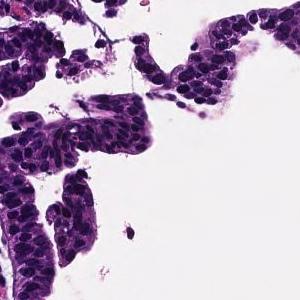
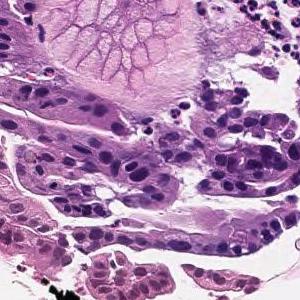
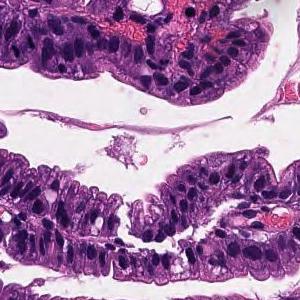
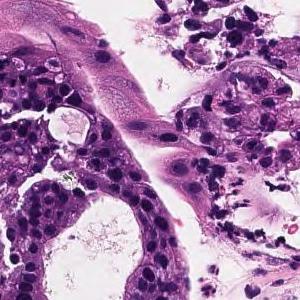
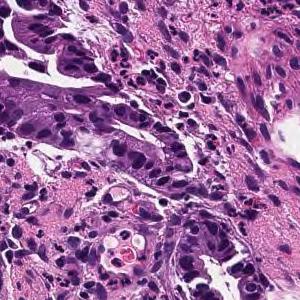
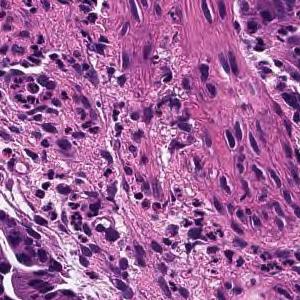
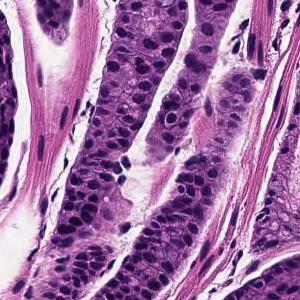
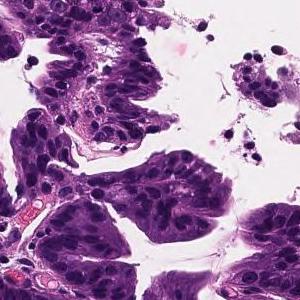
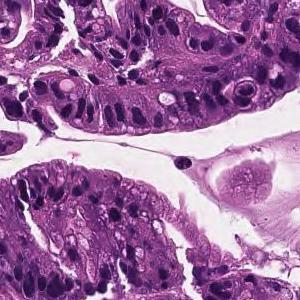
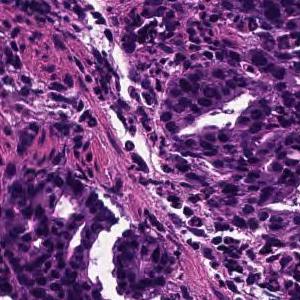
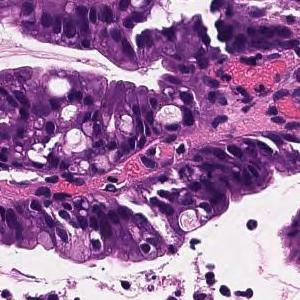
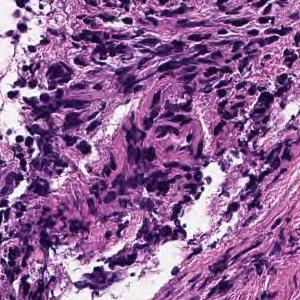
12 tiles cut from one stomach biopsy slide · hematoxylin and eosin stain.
Pathology report for the slide these tiles were cut from. What the report and the diagnosis say applies to the whole slide; these tiles may miss some of the features named and may include tissue that is not tumor.
On the superficial epithelium, tumor tissue that infiltrates by forming medium-sized papillary or small irregular ducts is observed. Papillary adenocarcinoma
